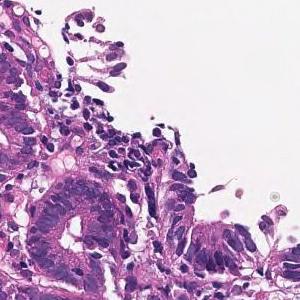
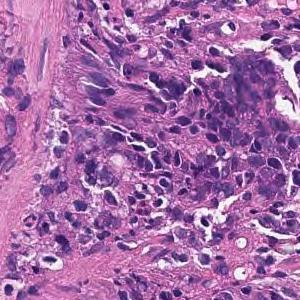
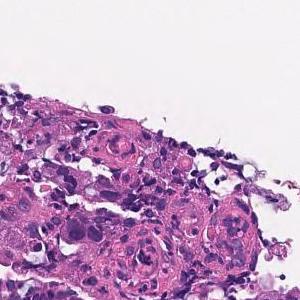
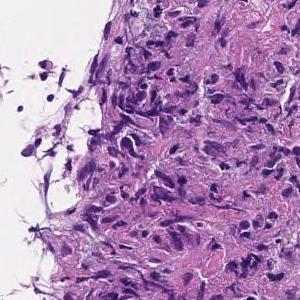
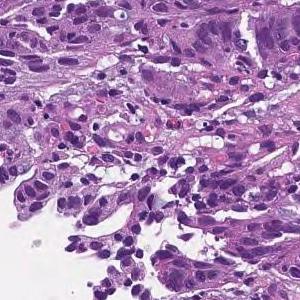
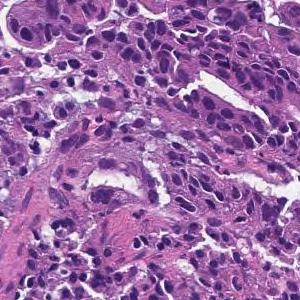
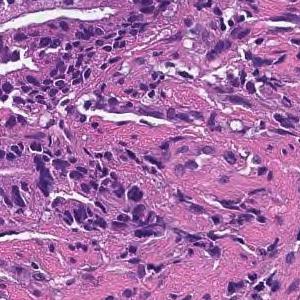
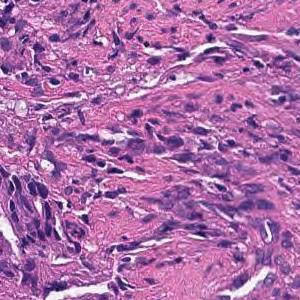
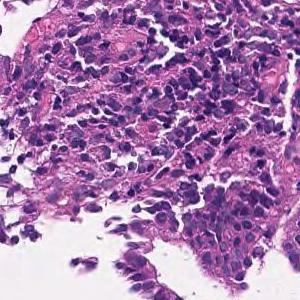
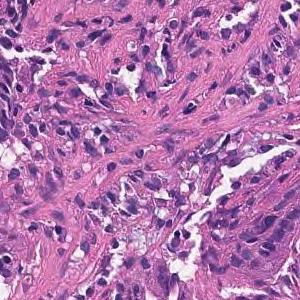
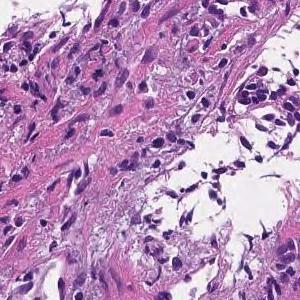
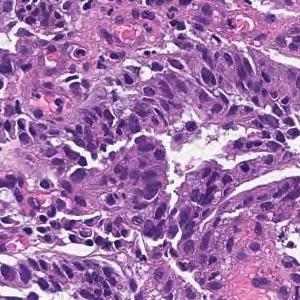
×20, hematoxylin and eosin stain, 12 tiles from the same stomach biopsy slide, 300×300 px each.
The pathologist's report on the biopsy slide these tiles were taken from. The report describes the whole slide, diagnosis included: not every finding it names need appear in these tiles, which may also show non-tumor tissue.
On the superficial epithelium, tumor tissue consisting of large, irregular glandular ducts partially fused and infiltrated is observed. Well to moderately differentiated tubular adenocarcinoma (well differentiated tubular adenocarcinoma, moderately differentiated tubular adenocarcinoma)
Histologic type: Well to moderately differentiated tubular adenocarcinoma.
